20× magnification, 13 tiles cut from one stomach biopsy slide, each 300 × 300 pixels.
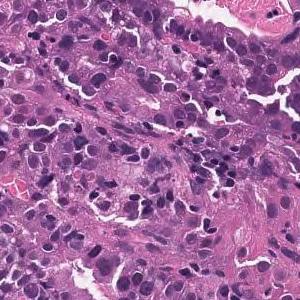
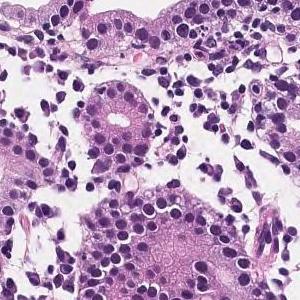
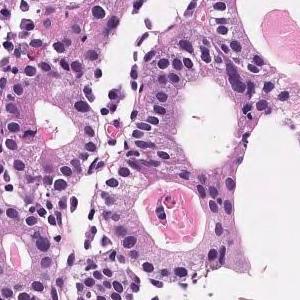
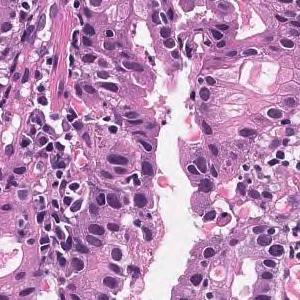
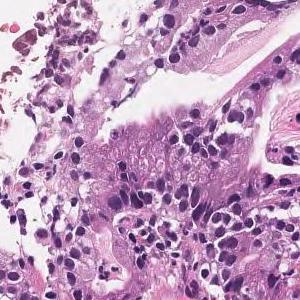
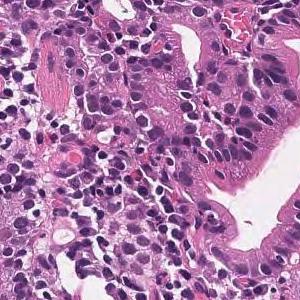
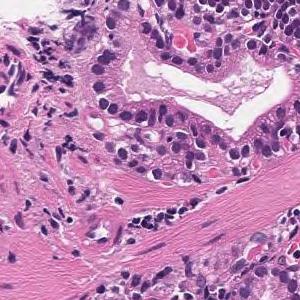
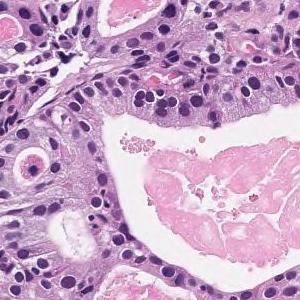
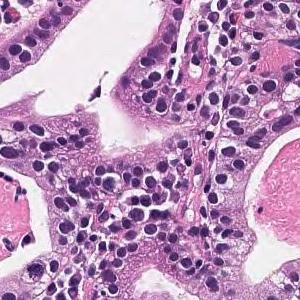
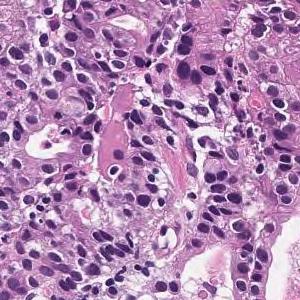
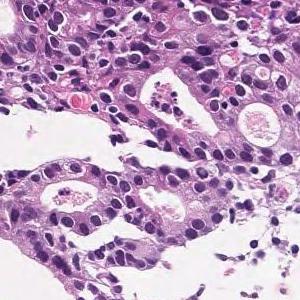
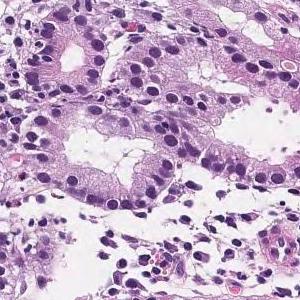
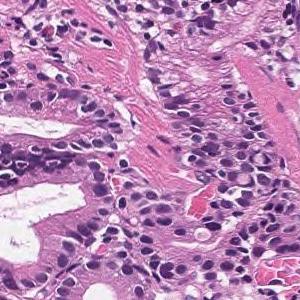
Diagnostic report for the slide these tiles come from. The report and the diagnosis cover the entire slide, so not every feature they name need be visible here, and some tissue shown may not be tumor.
Medium to small, irregular glandular ducts are formed in the superficial epithelium, and in some cases, the glandular ducts are fused to show solid alveolar lesions and infiltrating tumor tissue is observed. Moderately to poorly differentiated adenocarcinoma.
